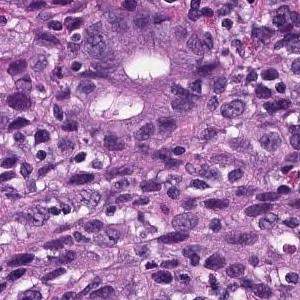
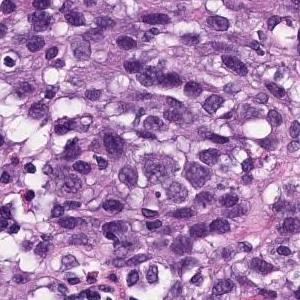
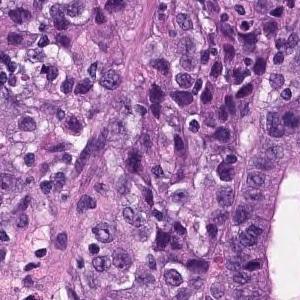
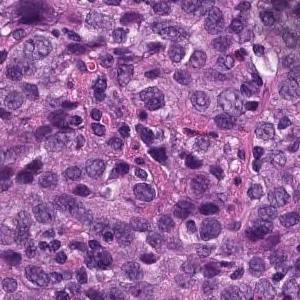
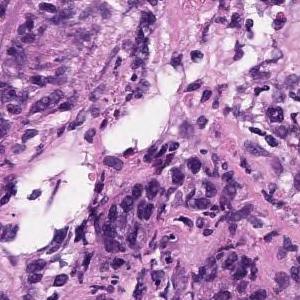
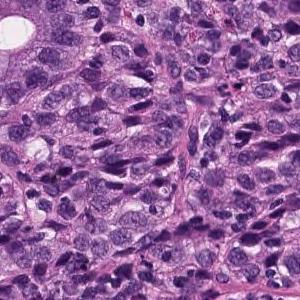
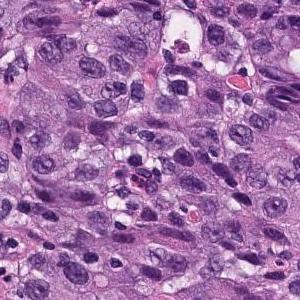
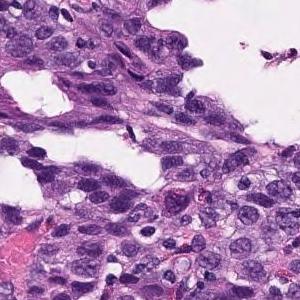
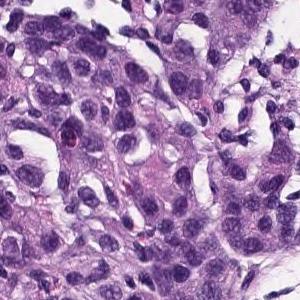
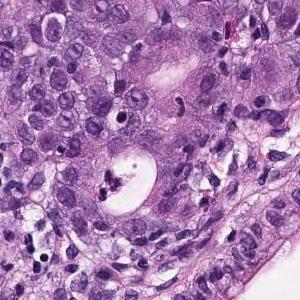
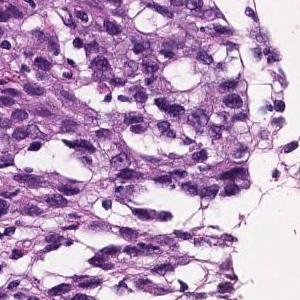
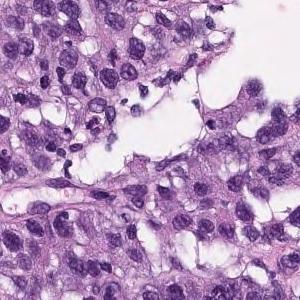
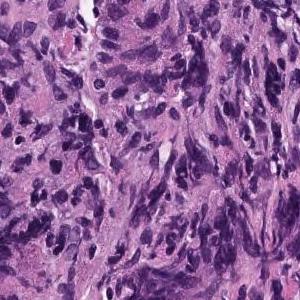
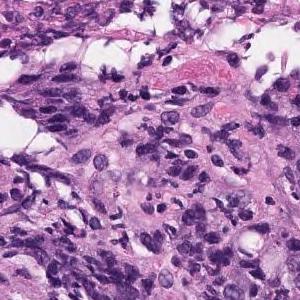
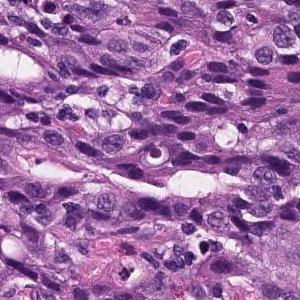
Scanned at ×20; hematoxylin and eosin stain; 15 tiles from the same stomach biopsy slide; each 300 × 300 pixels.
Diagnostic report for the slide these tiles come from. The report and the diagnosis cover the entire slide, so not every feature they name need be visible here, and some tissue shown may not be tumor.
In the superficial epithelium, tumor tissue that invades by forming medium-sized to small, irregular ducts is observed. Moderately differentiated adenocarcinoma.
Histological subtype: Moderately differentiated tubular adenocarcinoma.
